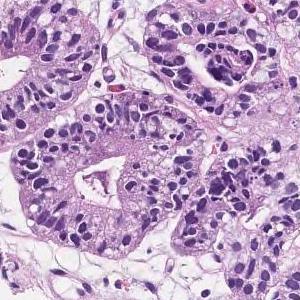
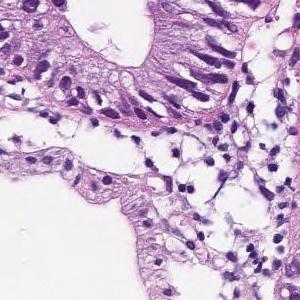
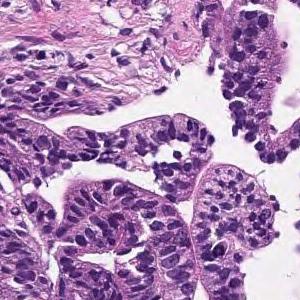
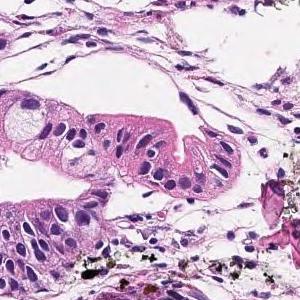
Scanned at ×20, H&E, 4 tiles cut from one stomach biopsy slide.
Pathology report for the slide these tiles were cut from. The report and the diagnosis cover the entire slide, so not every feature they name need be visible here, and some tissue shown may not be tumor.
In the superficial epithelium, tumor tissue that invades by forming medium-sized to small, irregular ducts is observed. Moderately differentiated adenocarcinoma.
Histologic type: Moderately differentiated tubular adenocarcinoma.
